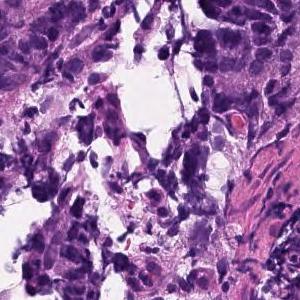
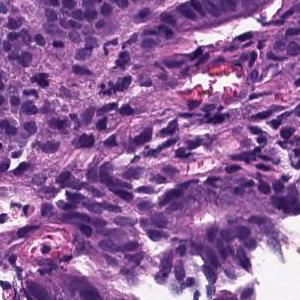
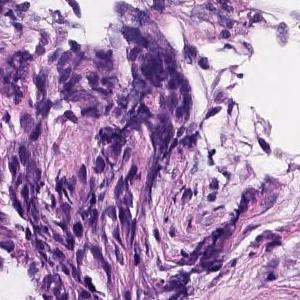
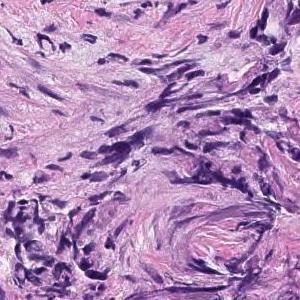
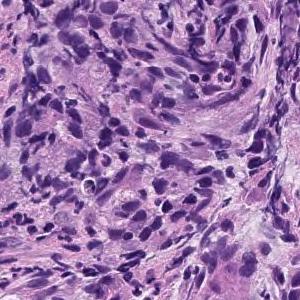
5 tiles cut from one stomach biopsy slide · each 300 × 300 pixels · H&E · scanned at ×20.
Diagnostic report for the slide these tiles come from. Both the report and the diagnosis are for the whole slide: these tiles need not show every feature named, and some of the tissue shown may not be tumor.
Medium to small, irregular glandular ducts are formed in the superficial epithelium, and in some cases, the glandular ducts are fused to show solid alveolar lesions and infiltrating tumor tissue is observed. Moderately to poorly differentiated adenocarcinoma.
